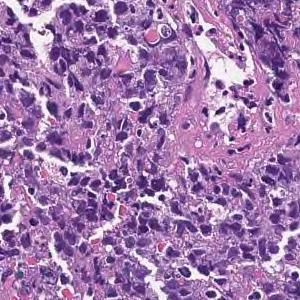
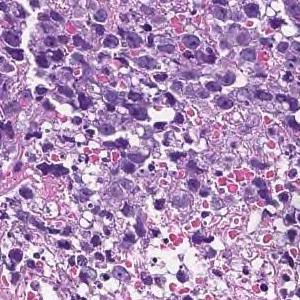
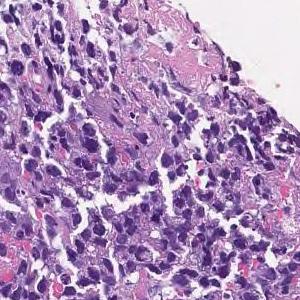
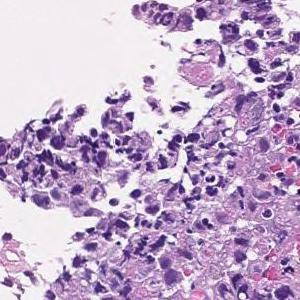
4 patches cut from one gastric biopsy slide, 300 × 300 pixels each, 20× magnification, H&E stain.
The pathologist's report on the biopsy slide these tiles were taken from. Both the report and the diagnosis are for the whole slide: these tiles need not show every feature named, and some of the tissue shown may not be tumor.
Most are composed of coagulative necrotic tissue, but some show a large sheet-like shape, and some show tumor tissue infiltrating with a small cord-like structure. Poorly differentiated adenocarcinoma, solid-type
Tumor subtype: poorly differentiated adenocarcinoma, solid type, a category of the Japanese Classification of Gastric Carcinoma; in the WHO 2019 classification it is tubular adenocarcinoma, poorly differentiated.
